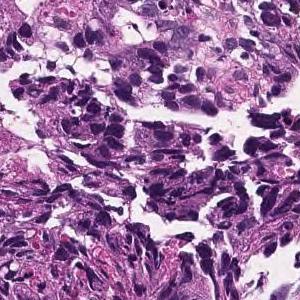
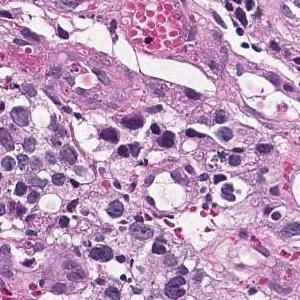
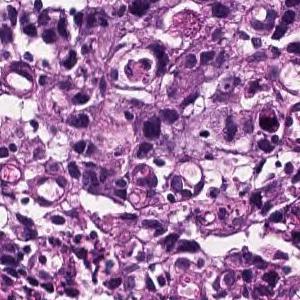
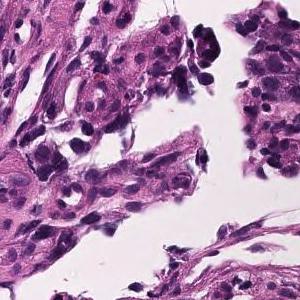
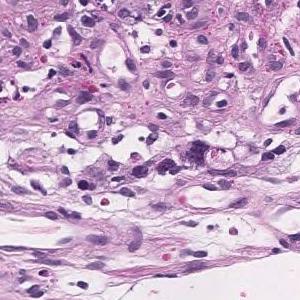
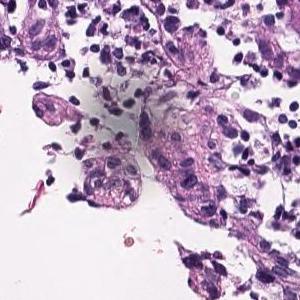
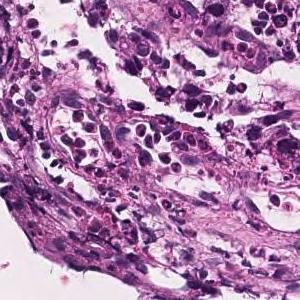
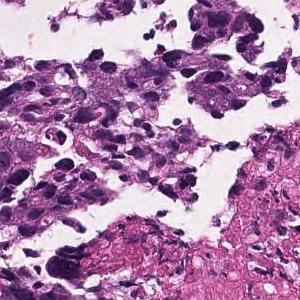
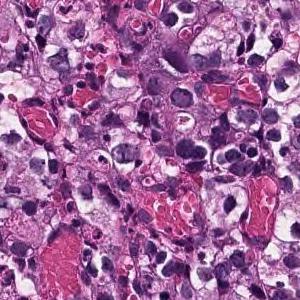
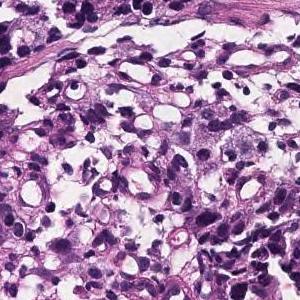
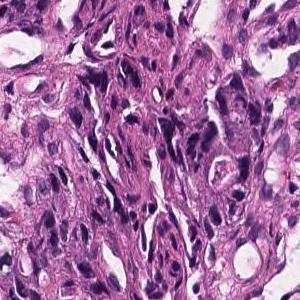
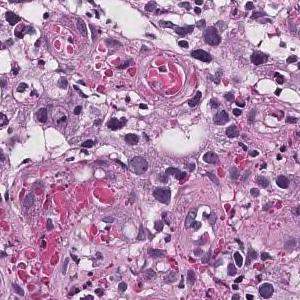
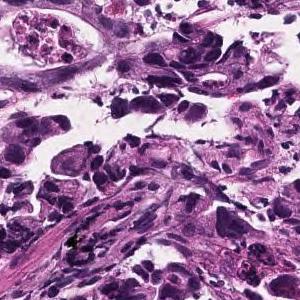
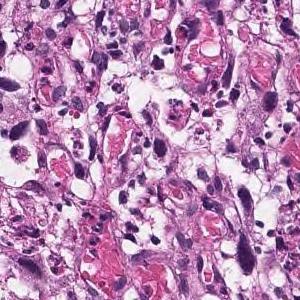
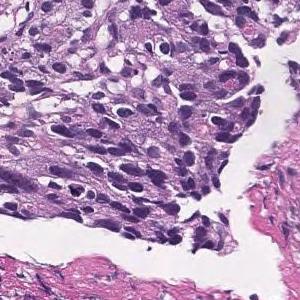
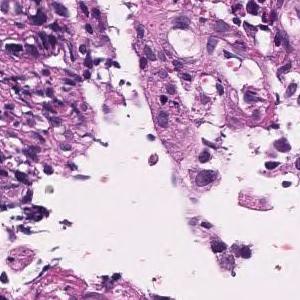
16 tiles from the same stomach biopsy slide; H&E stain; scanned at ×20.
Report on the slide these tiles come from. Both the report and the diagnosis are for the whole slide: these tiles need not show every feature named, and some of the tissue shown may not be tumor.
Tumor tissue consisting of medium-sized, cord-like or irregular glandular infiltration is observed in the superficial epithelium. Poorly differentiated adenocarcinoma, non-solid type or moderately differentiated tubular adenocarcinoma
The term "non-solid type" comes from the Japanese Classification of Gastric Carcinoma.
